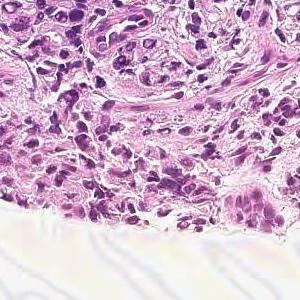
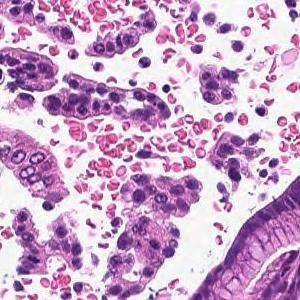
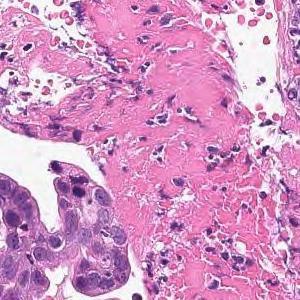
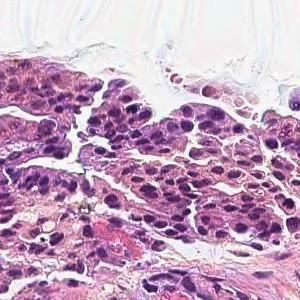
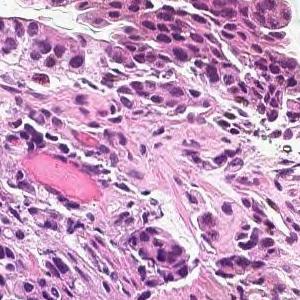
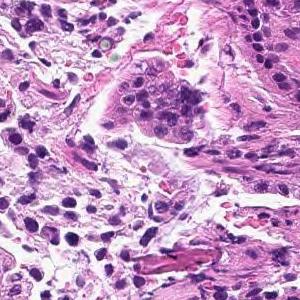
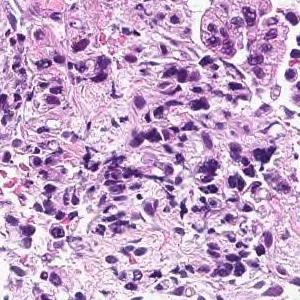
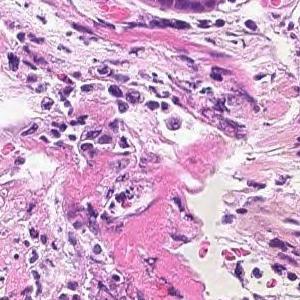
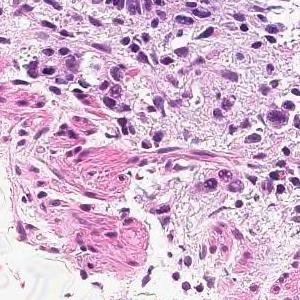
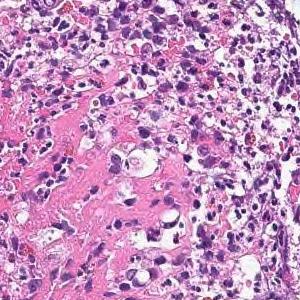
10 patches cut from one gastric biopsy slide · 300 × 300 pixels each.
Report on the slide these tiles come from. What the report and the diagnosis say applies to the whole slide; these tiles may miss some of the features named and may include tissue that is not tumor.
Tumor tissue consisting of medium-sized, cord-like or irregular glandular infiltration is observed in the superficial epithelium. Poorly differentiated adenocarcinoma, non-solid type or moderately differentiated tubular adenocarcinoma
Classified as moderately to poorly differentiated adenocarcinoma.
The term "non-solid type" comes from the Japanese Classification of Gastric Carcinoma.
